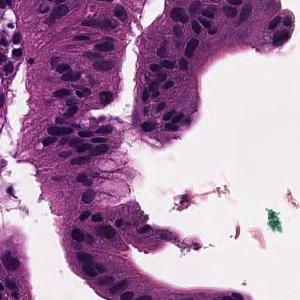
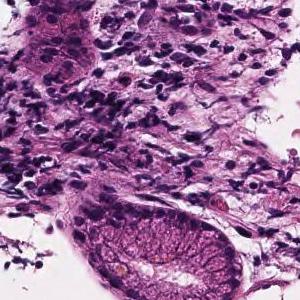
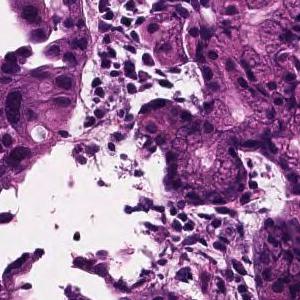
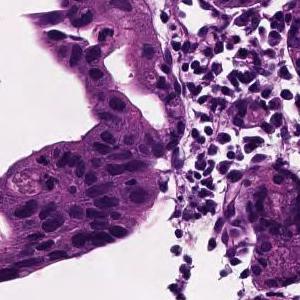
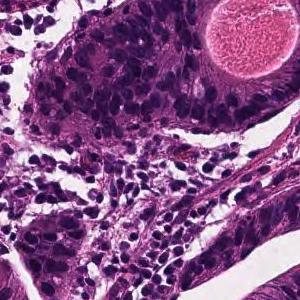
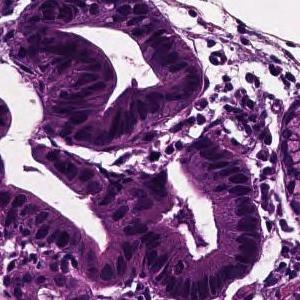
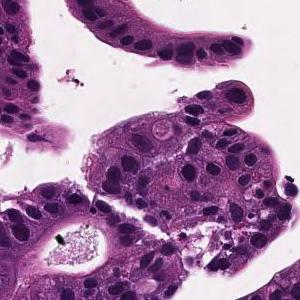
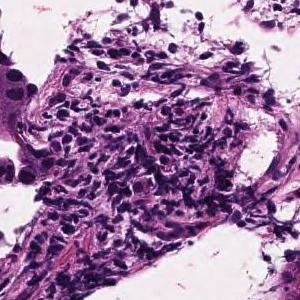
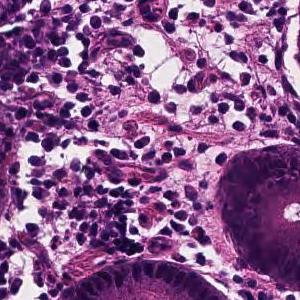
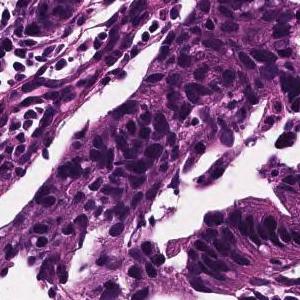
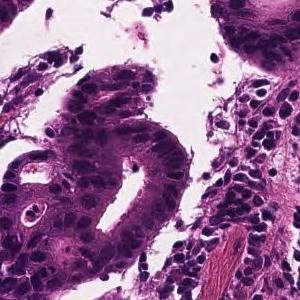
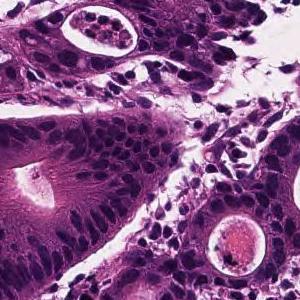
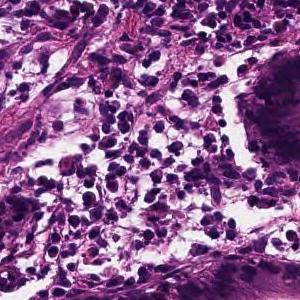
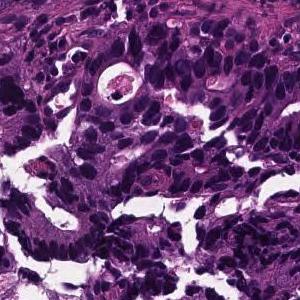
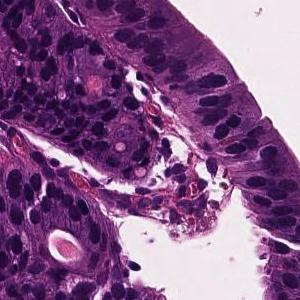
15 tiles from the same stomach biopsy slide, H&E.
Pathology report for the slide these tiles were cut from. What the report and the diagnosis say applies to the whole slide; these tiles may miss some of the features named and may include tissue that is not tumor.
In the superficial epithelium, tumor tissue that invades by forming medium-sized to small, irregular ducts is observed. moderately differentiated tubular adenocarcinoma.
